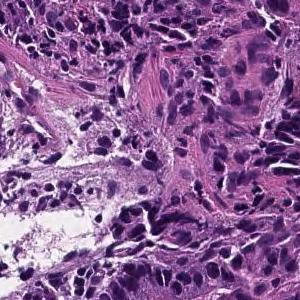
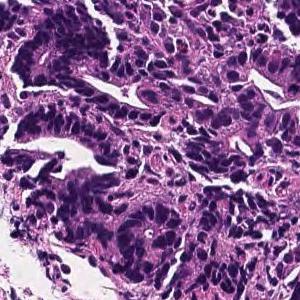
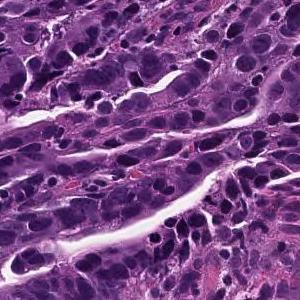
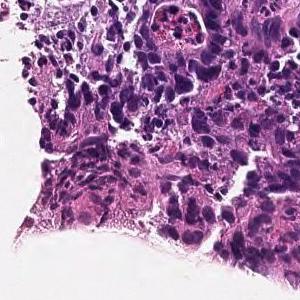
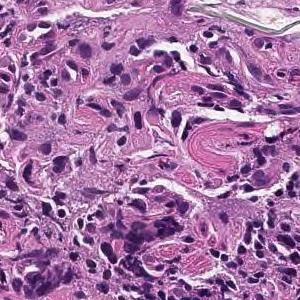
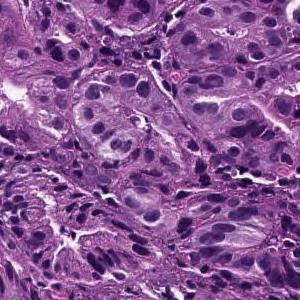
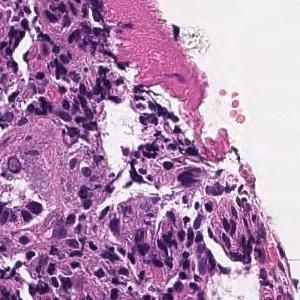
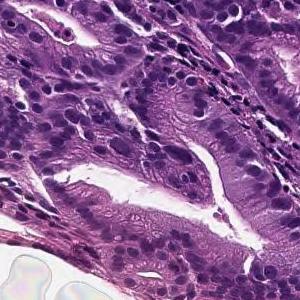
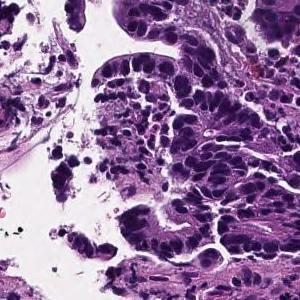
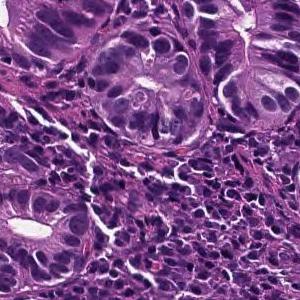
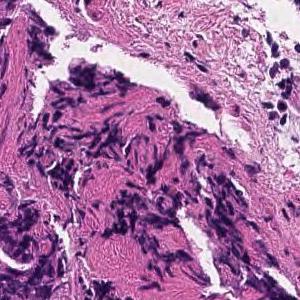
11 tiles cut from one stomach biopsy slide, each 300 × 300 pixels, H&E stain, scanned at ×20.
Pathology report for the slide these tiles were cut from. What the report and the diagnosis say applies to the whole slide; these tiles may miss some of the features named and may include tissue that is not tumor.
On the superficial epithelium, tumor tissue consisting of large irregular glandular ducts partially fused and infiltrated is observed. Well to moderately differentiated tubular adenocarcinoma (well differentiated tubular adenocarcinoma, moderately differentiated tubular adenocarcinoma)
Tumor subtype: well to moderately differentiated tubular adenocarcinoma.
